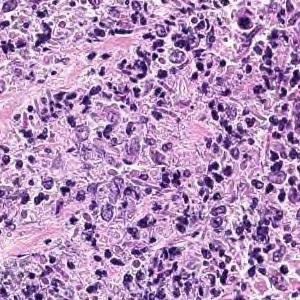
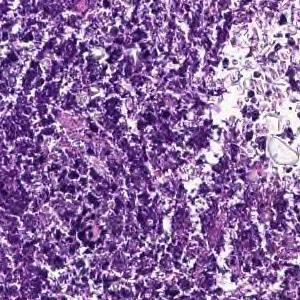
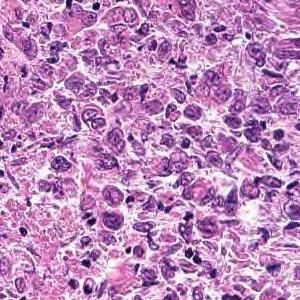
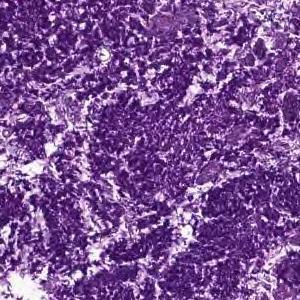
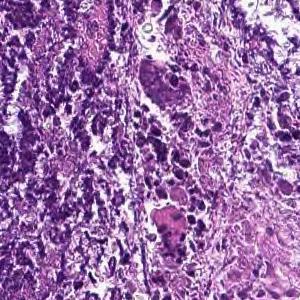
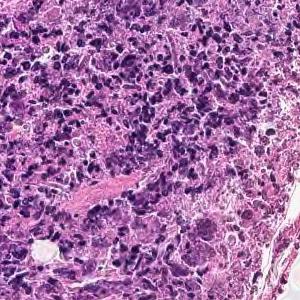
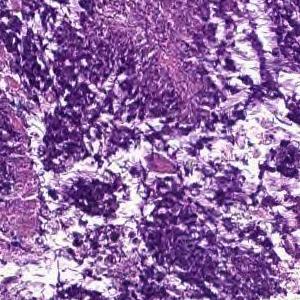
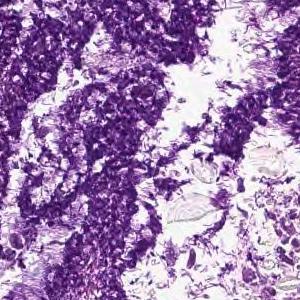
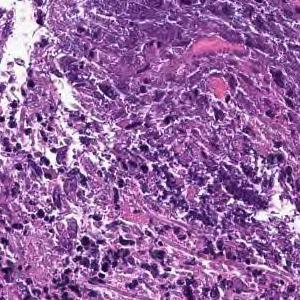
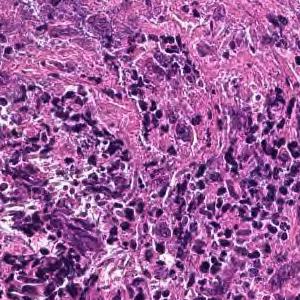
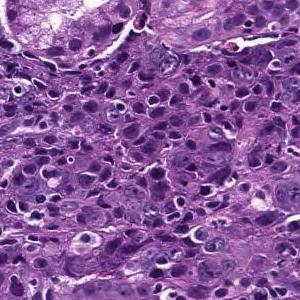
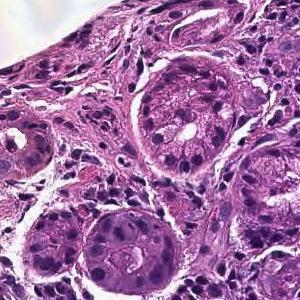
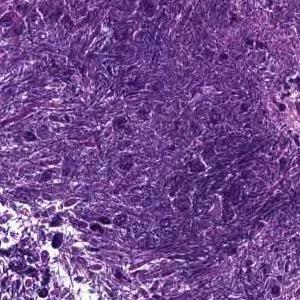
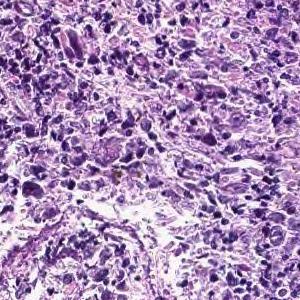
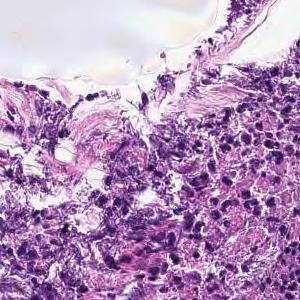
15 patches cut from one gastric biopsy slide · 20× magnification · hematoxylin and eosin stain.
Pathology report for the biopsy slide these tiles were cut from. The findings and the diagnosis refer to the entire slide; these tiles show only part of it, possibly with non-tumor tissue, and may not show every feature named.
Cancers with polygonal nuclei do not show glandular formation and are densely, in part, cord-like and proliferate. Poorly differentiated adenocarcinoma
Histologic type: Poorly differentiated adenocarcinoma, non-solid type.
The term "non-solid type" comes from the Japanese Classification of Gastric Carcinoma.
